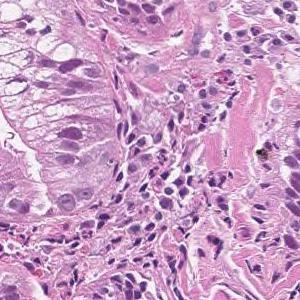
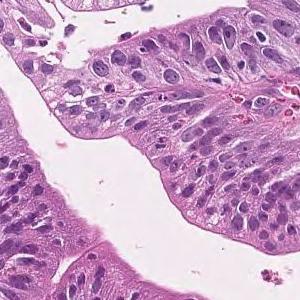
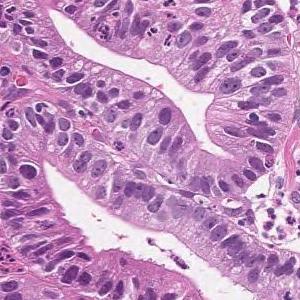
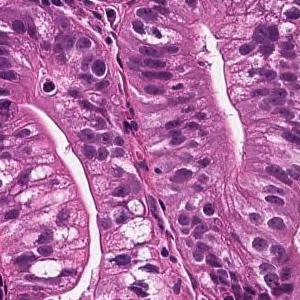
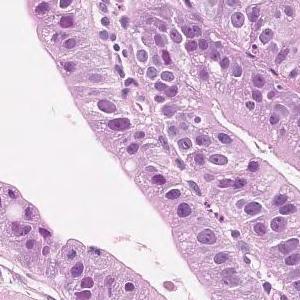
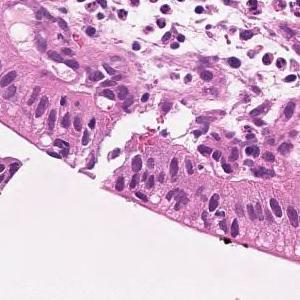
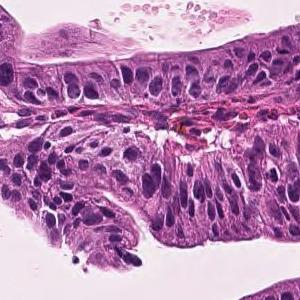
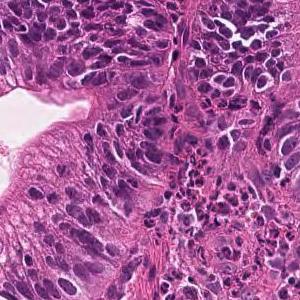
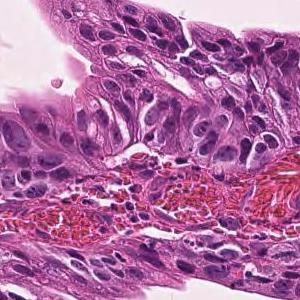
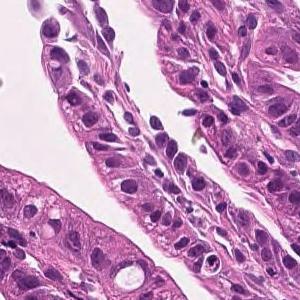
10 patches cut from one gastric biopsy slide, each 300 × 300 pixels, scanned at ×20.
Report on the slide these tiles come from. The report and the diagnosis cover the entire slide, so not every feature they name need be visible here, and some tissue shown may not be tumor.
Tumor cells are large, highly columnar, large club-shaped nuclei, and are associated with chromatin aggregation. Papillary adenocarcinoma.
